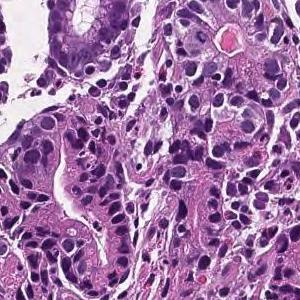
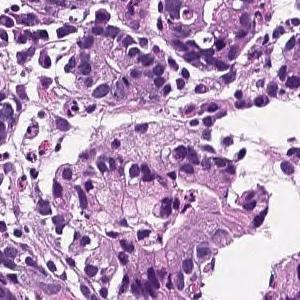
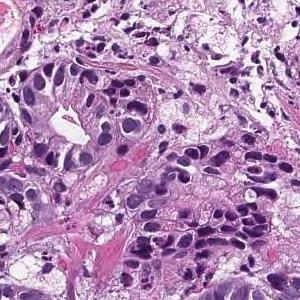
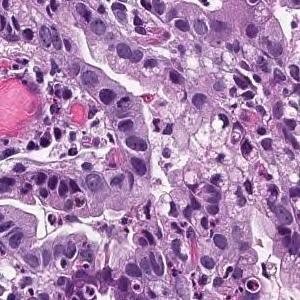
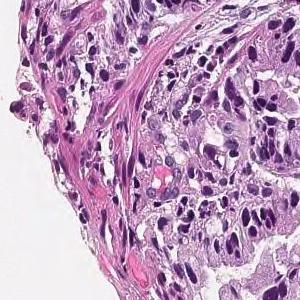
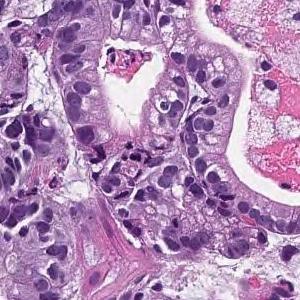
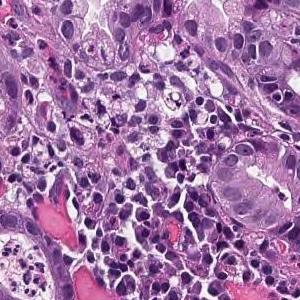
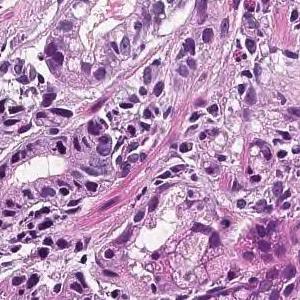
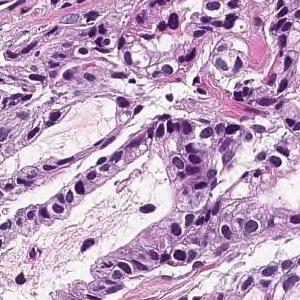
9 tiles cut from one stomach biopsy slide; 300 × 300 pixels each; hematoxylin and eosin stain; ×20.
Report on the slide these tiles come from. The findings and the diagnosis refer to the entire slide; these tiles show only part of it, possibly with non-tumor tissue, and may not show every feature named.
From the superficial epithelium to the muscularis mucosae, tumor tissue consisting of medium-sized and irregular glandular ducts infiltrating is observed. Well differentiated tubular adenocarcinoma
